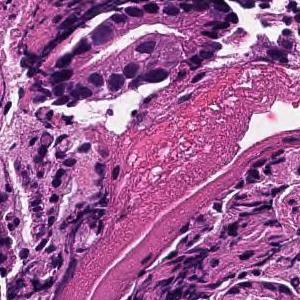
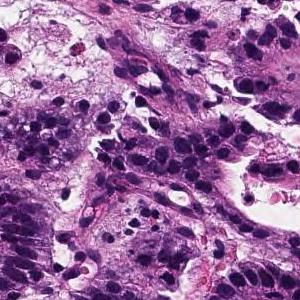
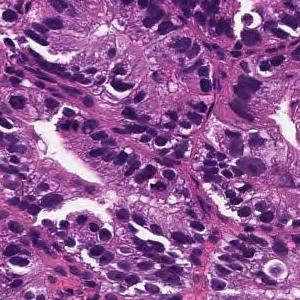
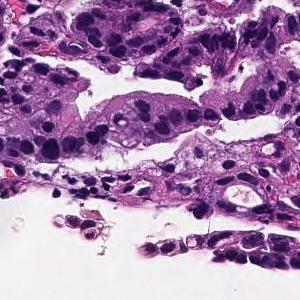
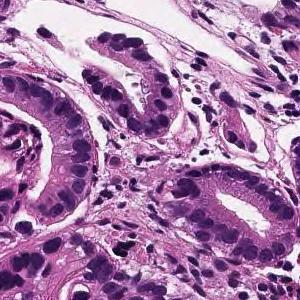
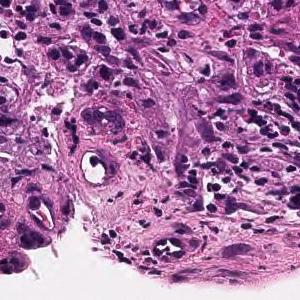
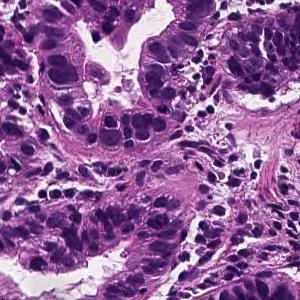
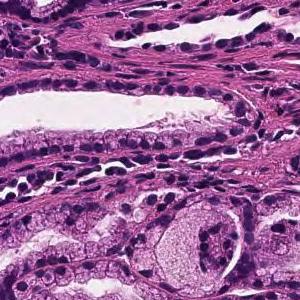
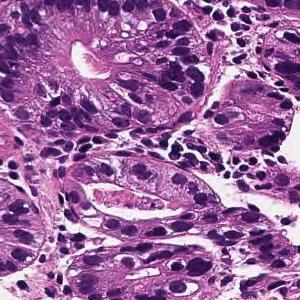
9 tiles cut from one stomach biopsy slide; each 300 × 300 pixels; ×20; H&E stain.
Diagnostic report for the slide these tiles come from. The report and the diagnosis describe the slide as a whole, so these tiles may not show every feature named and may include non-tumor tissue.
From the superficial epithelium to the muscularis mucosae, tumor tissue consisting of medium-sized and irregular glandular ducts infiltrating is observed. Well differentiated tubular adenocarcinoma
